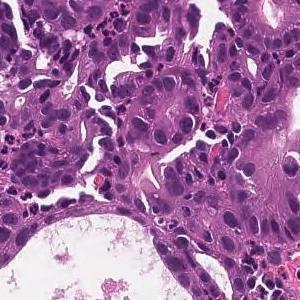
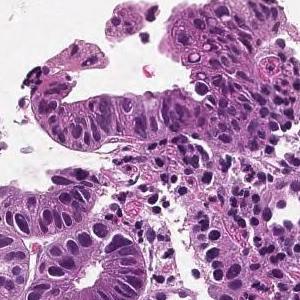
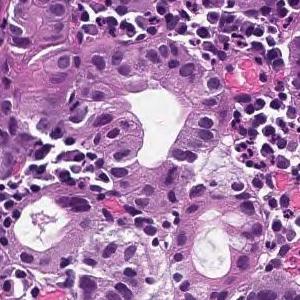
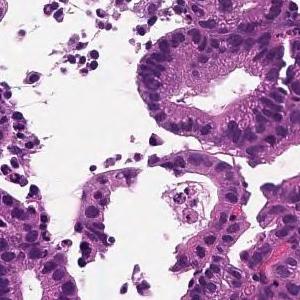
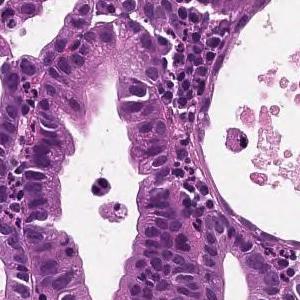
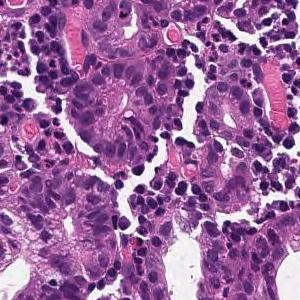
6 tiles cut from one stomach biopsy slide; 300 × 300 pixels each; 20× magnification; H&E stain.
Pathology report for the slide these tiles were cut from. The report and the diagnosis cover the entire slide, so not every feature they name need be visible here, and some tissue shown may not be tumor.
From the superficial epithelium to the muscularis mucosae, tumor tissue consisting of medium-sized and irregular glandular ducts infiltrating is observed. Well differentiated tubular adenocarcinoma
